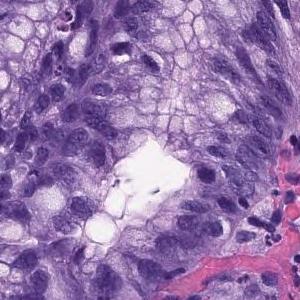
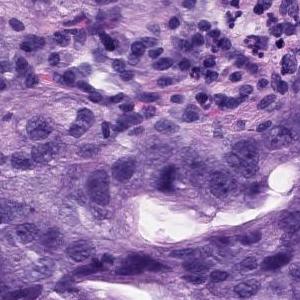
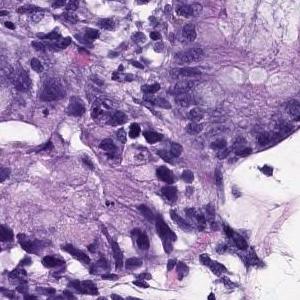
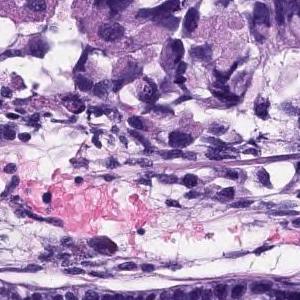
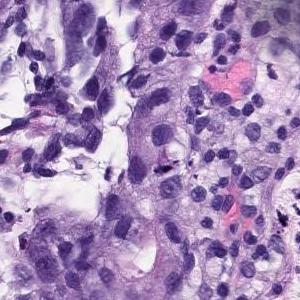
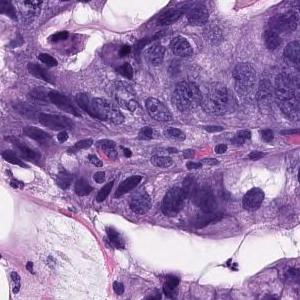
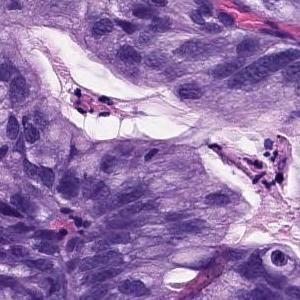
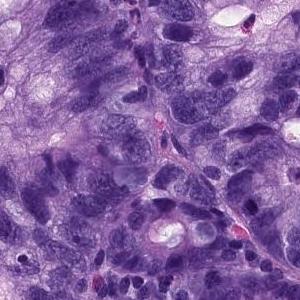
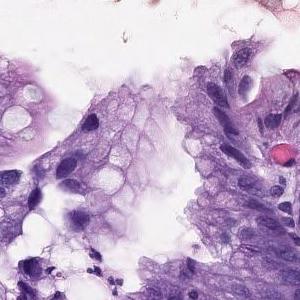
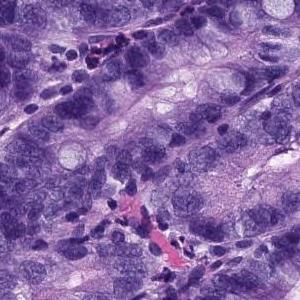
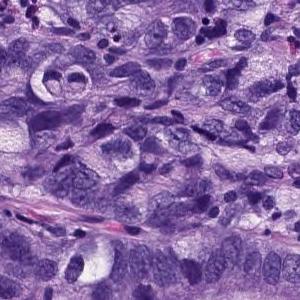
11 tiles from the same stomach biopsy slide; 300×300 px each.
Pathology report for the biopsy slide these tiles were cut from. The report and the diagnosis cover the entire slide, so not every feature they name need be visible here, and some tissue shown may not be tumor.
There are large atypical epithelial cells infiltrating and proliferating while forming atypical glandular cavities showing a fusion tendency. Moderately differentiated tubular adenocarcinoma.
